15 patches cut from one gastric biopsy slide · each 300 × 300 pixels · H&E · 20× magnification.
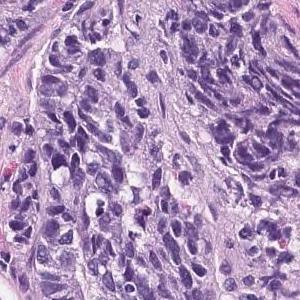
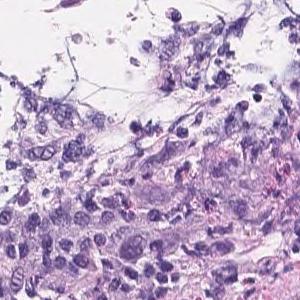
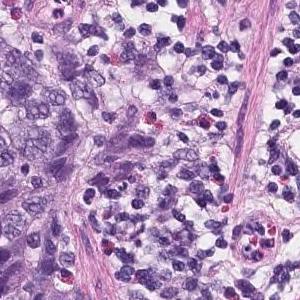
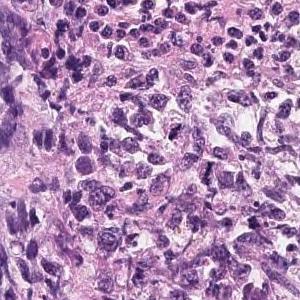
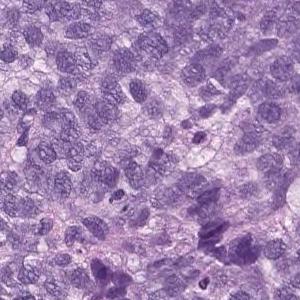
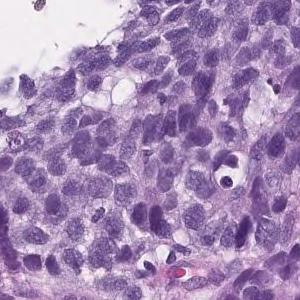
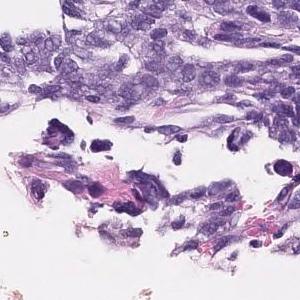
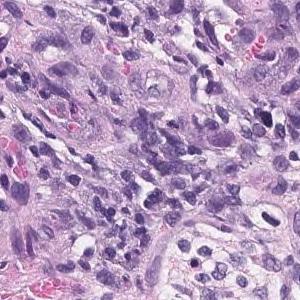
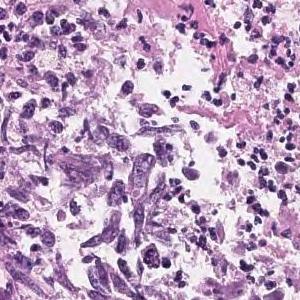
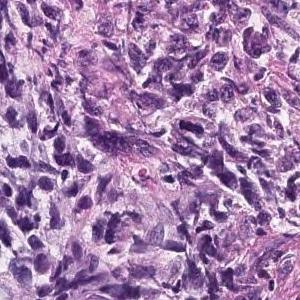
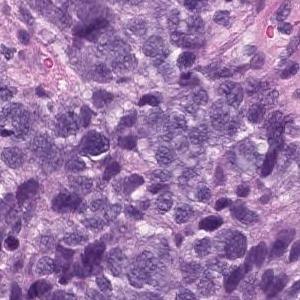
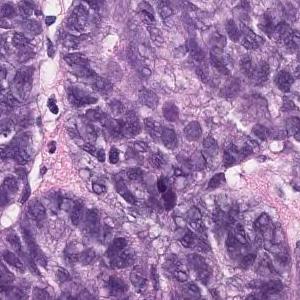
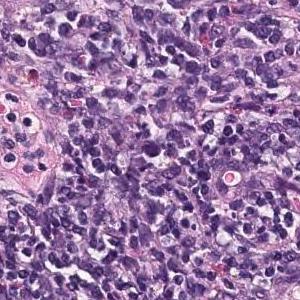
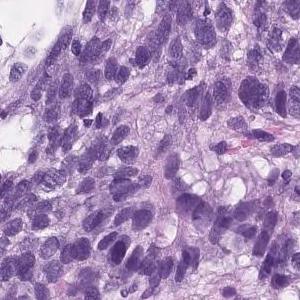
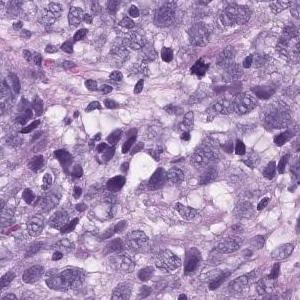
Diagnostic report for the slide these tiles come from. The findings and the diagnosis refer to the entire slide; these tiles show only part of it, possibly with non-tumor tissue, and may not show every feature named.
Epithelial cells with swollen nuclei with atypia invasively proliferating while forming vesicles is observed. Poorly differentiated adenocarcinoma
Histological subtype: Poorly differentiated adenocarcinoma, solid type, a category of the Japanese Classification of Gastric Carcinoma; in the WHO 2019 classification it is tubular adenocarcinoma, poorly differentiated.
